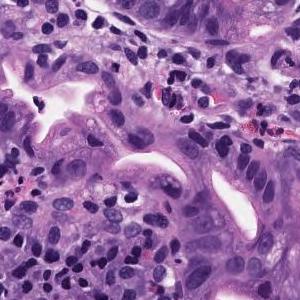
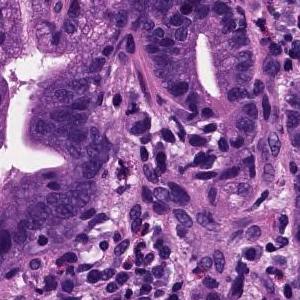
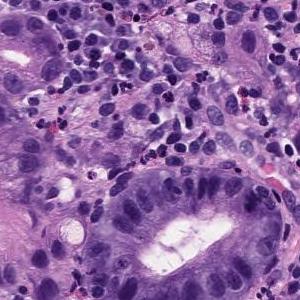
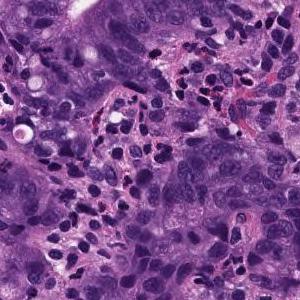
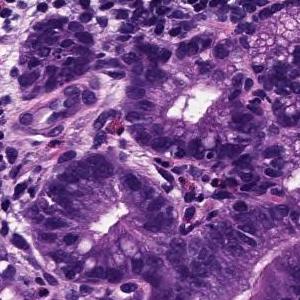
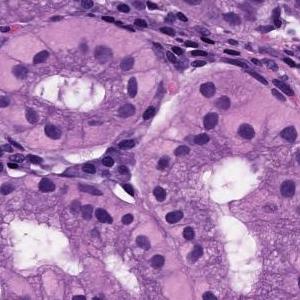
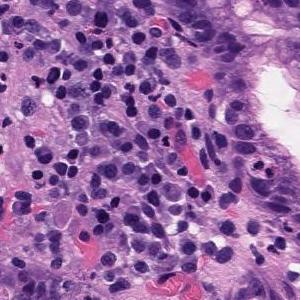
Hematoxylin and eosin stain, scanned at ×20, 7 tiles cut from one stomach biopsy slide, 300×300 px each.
Report on the slide these tiles come from. What the report and the diagnosis say applies to the whole slide; these tiles may miss some of the features named and may include tissue that is not tumor.
Medium to small, irregular glandular ducts are formed in the superficial epithelium, and in some cases, the glandular ducts are fused to show solid alveolar lesions and infiltrating tumor tissue is observed. Moderately to poorly differentiated adenocarcinoma.
